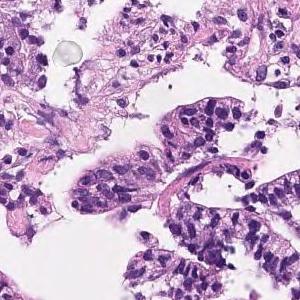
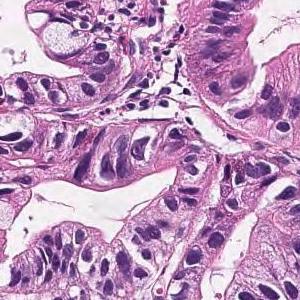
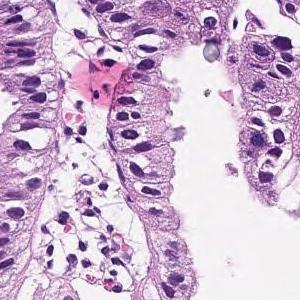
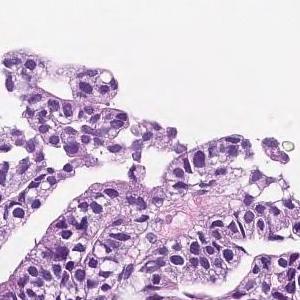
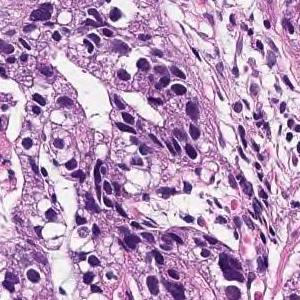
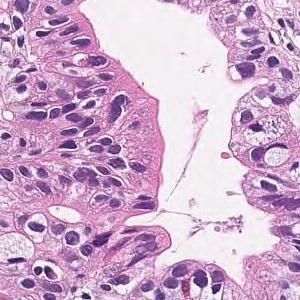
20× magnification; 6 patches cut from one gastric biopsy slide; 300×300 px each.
The pathologist's report on the biopsy slide these tiles were taken from. The findings and the diagnosis refer to the entire slide; these tiles show only part of it, possibly with non-tumor tissue, and may not show every feature named.
In the superficial epithelium, tumor tissue that invades by forming medium-sized to small, irregular ducts is observed. Moderately differentiated adenocarcinoma.
Histological subtype: Moderately differentiated tubular adenocarcinoma.
